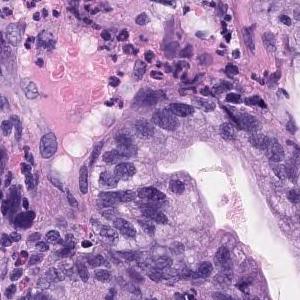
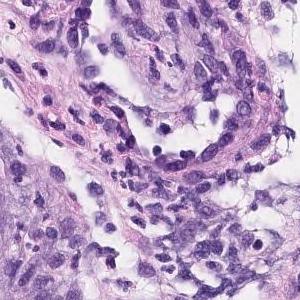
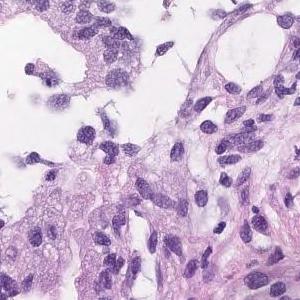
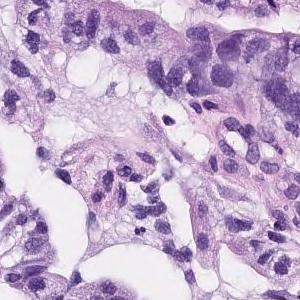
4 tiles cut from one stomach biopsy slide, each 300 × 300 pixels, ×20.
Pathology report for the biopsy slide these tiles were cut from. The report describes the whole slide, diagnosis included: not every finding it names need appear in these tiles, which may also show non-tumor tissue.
Tumor cells are large, highly columnar, large club-shaped nuclei, and are associated with chromatin aggregation. Papillary adenocarcinoma.
